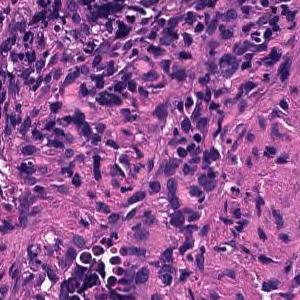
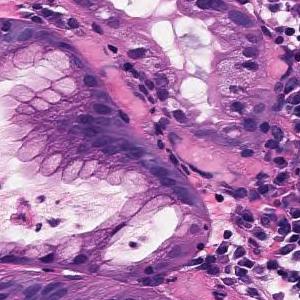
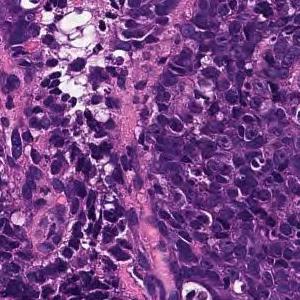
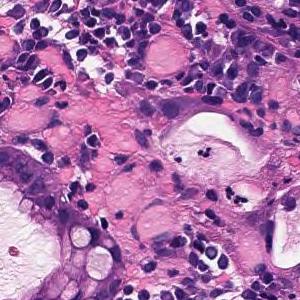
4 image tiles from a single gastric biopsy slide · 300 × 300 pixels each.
The pathologist's report on the biopsy slide these tiles were taken from. The findings and the diagnosis refer to the entire slide; these tiles show only part of it, possibly with non-tumor tissue, and may not show every feature named.
Large sheet-like or diffusely infiltrating tumor tissue is found in the superficial epithelium. Poorly differentiated adenocarcinoma, solid-type
Histological subtype: Poorly differentiated adenocarcinoma, solid type (Japanese Classification of Gastric Carcinoma). The WHO 2019 equivalent is tubular adenocarcinoma, poorly differentiated.
